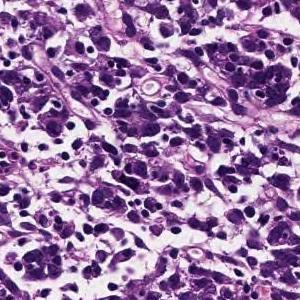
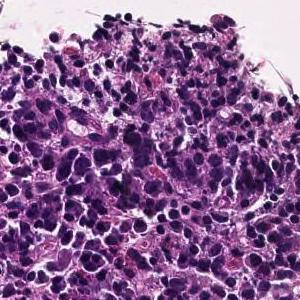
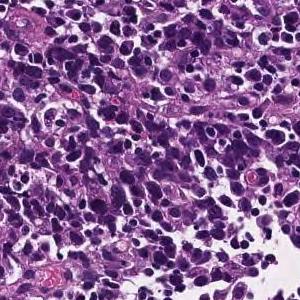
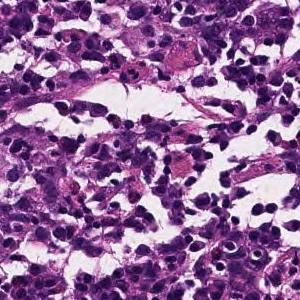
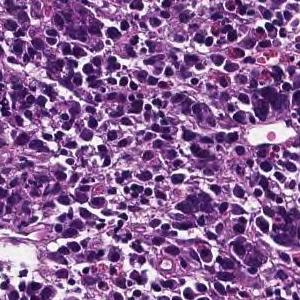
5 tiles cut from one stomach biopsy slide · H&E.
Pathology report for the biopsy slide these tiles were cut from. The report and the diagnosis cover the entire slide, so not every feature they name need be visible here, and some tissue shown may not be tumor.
Tumor tissue consisting of cord-like or small, irregular glandular ducts fused and infiltrated is observed in the superficial epithelium. Poorly differentiated adenocarcinoma, non-solid type
The non-solid type named here is a Japanese Classification of Gastric Carcinoma category.
